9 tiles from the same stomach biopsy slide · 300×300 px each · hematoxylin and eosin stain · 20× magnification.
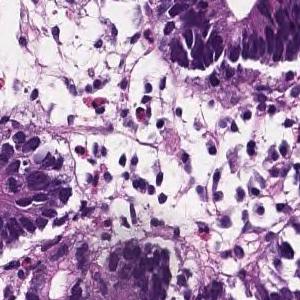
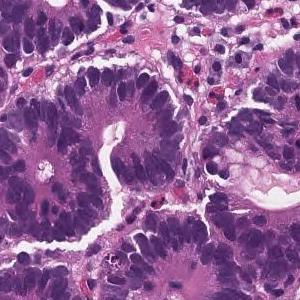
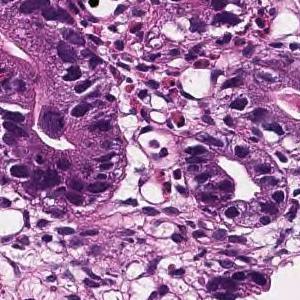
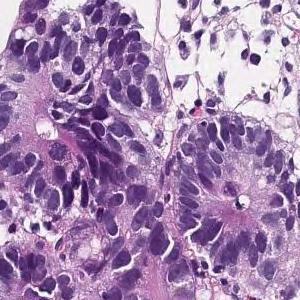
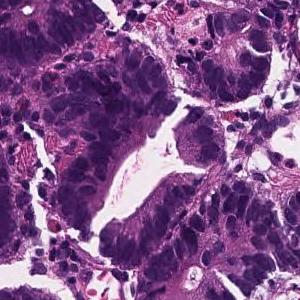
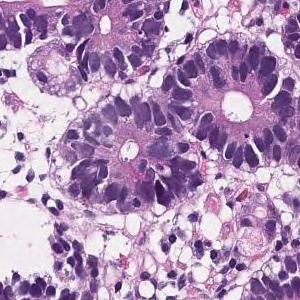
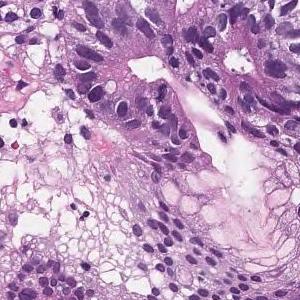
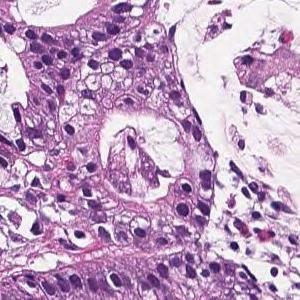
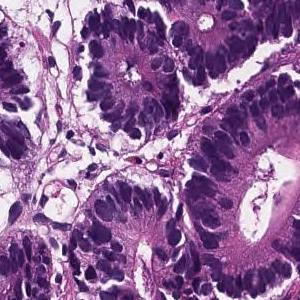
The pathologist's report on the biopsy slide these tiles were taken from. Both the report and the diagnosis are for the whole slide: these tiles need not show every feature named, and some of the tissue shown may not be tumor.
On the superficial epithelium, tumor tissue consisting of large, irregular glandular ducts partially fused and infiltrated is observed. Well to moderately differentiated tubular adenocarcinoma (well differentiated tubular adenocarcinoma, moderately differentiated tubular adenocarcinoma)
Classified as well to moderately differentiated tubular adenocarcinoma.
